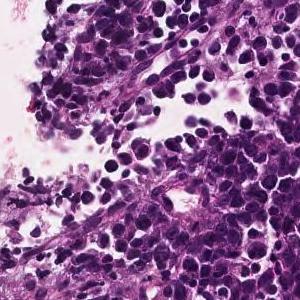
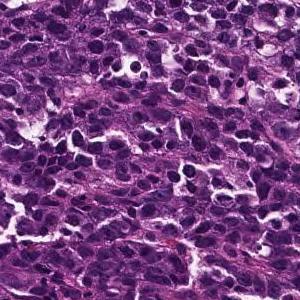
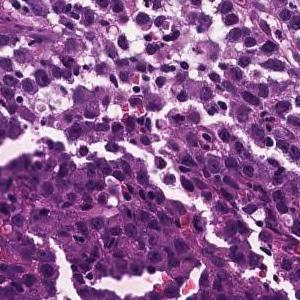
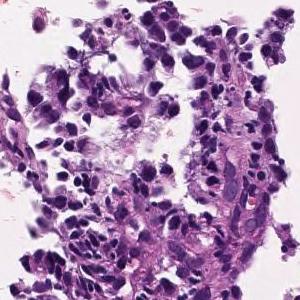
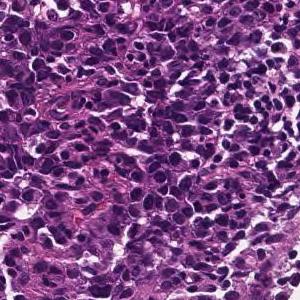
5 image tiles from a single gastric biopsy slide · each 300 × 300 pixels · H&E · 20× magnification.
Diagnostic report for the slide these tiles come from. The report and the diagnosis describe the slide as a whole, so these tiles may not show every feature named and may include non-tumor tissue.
The superficial epithelium shows a large sheet-like shape, and some tumor tissue infiltrates with small irregular ducts. Poorly differentiated adenocarcinoma, solid-type
Tumor subtype: poorly differentiated adenocarcinoma, solid type, a category of the Japanese Classification of Gastric Carcinoma; in the WHO 2019 classification it is tubular adenocarcinoma, poorly differentiated.
